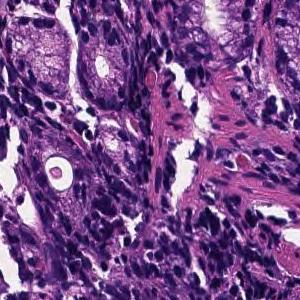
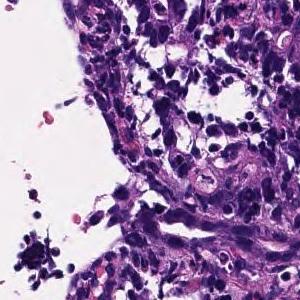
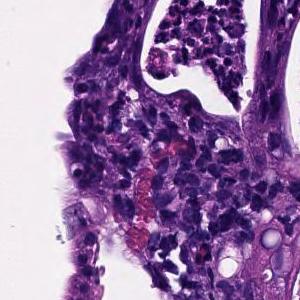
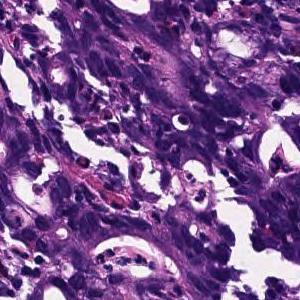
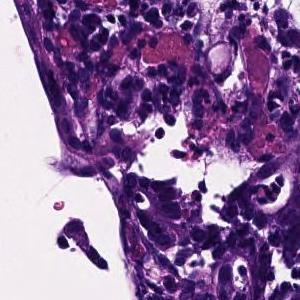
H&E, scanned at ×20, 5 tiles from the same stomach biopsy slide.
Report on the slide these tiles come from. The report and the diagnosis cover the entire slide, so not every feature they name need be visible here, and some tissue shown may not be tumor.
In the superficial epithelium, tumor tissue that invades by forming medium-sized to small, irregular ducts is observed. moderately differentiated tubular adenocarcinoma.
